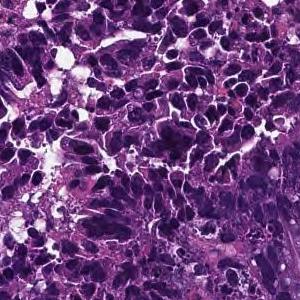
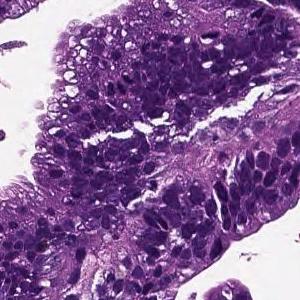
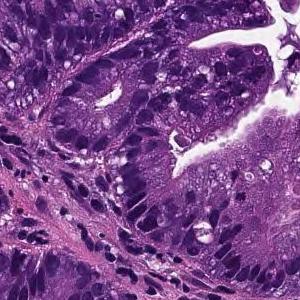
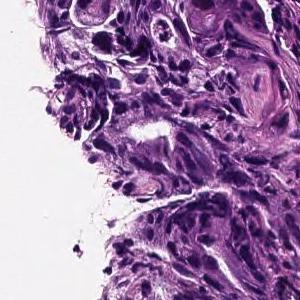
4 tiles from the same stomach biopsy slide.
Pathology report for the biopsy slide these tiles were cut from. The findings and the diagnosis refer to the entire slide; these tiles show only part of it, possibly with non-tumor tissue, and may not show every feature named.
Tumor cells are large, highly columnar, large club-shaped nuclei, and are associated with chromatin aggregation. Papillary adenocarcinoma.
